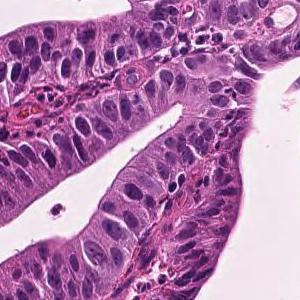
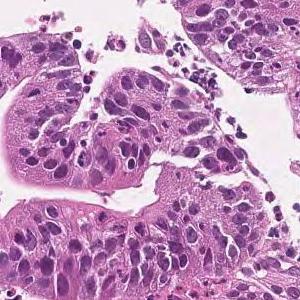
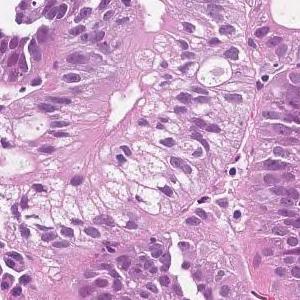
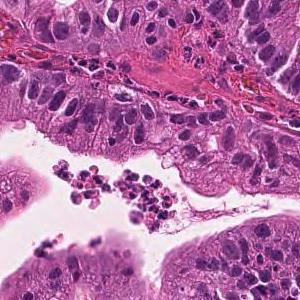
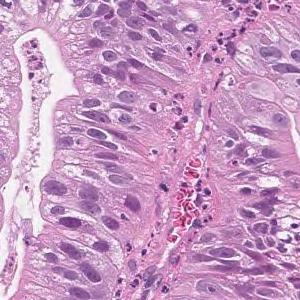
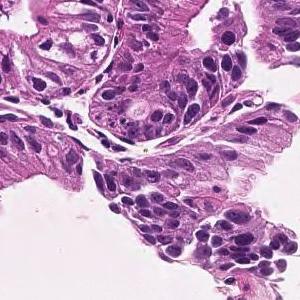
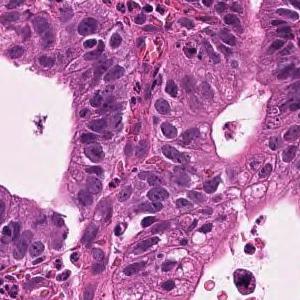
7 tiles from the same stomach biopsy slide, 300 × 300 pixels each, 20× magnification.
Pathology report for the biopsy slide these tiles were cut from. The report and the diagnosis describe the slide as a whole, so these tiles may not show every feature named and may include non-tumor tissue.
Tumor cells are large, highly columnar, large club-shaped nuclei, and are associated with chromatin aggregation. Papillary adenocarcinoma.
